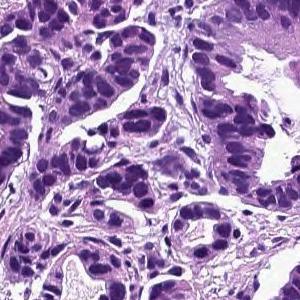
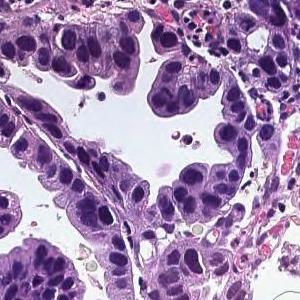
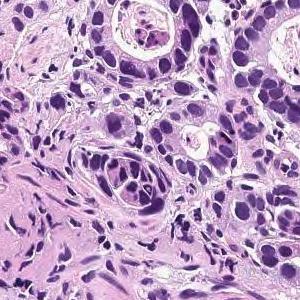
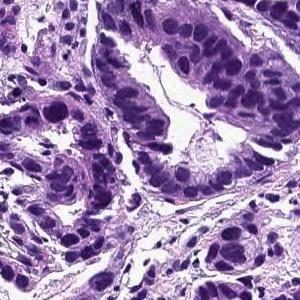
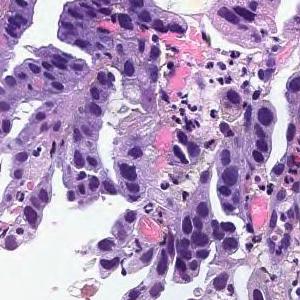
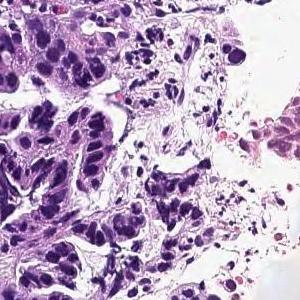
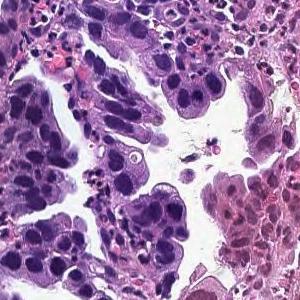
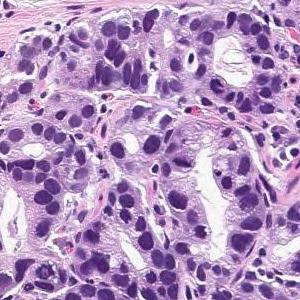
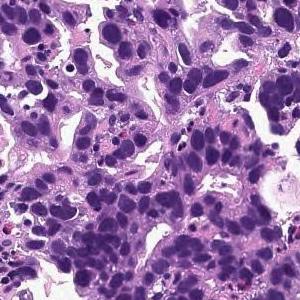
9 tiles from the same stomach biopsy slide; 300 × 300 pixels each; scanned at ×20; H&E.
Pathology report for the slide these tiles were cut from. The report describes the whole slide, diagnosis included: not every finding it names need appear in these tiles, which may also show non-tumor tissue.
On the superficial epithelium, tumor tissue consisting of large irregular glandular ducts partially fused and infiltrated is observed. Well to moderately differentiated tubular adenocarcinoma (well differentiated tubular adenocarcinoma, moderately differentiated tubular adenocarcinoma)
Histologic type: Well to moderately differentiated tubular adenocarcinoma.
